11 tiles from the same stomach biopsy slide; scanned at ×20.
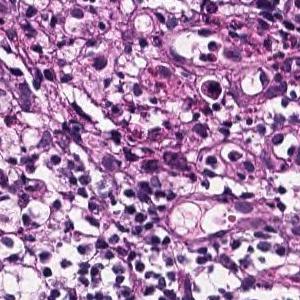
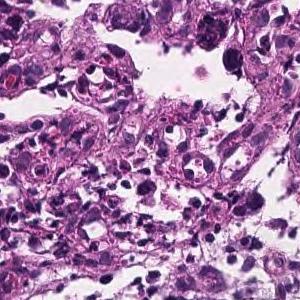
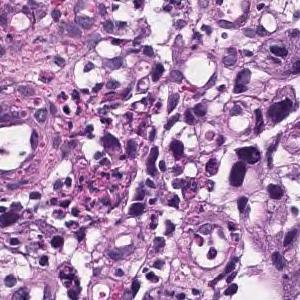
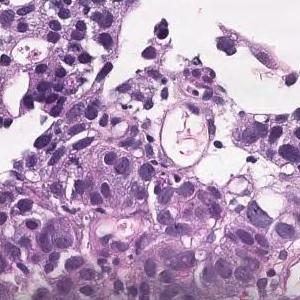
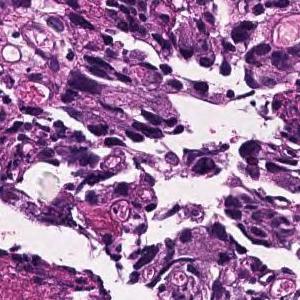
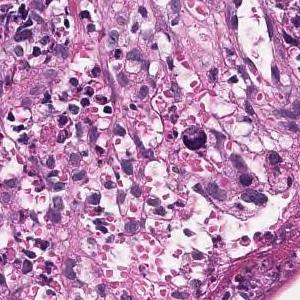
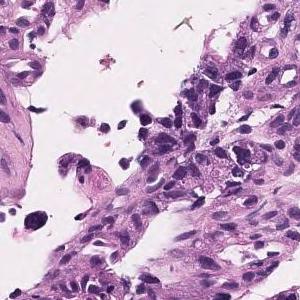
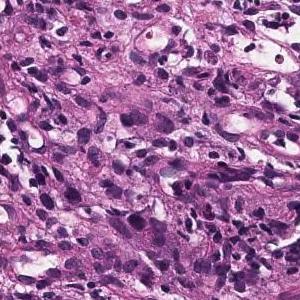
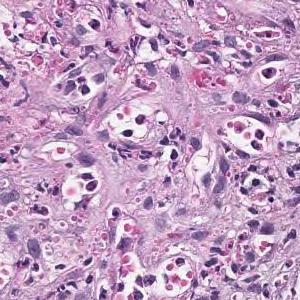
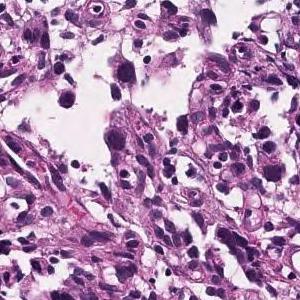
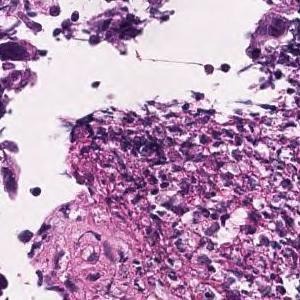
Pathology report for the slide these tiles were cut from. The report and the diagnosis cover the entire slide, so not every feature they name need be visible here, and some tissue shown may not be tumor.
Tumor tissue consisting of medium-sized, cord-like or irregular glandular infiltration is observed in the superficial epithelium. Poorly differentiated adenocarcinoma, non-solid type or moderately differentiated tubular adenocarcinoma
The term "non-solid type" comes from the Japanese Classification of Gastric Carcinoma.
